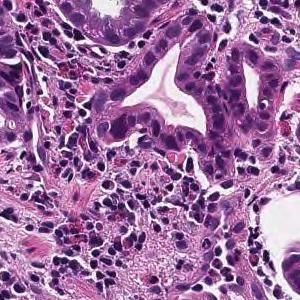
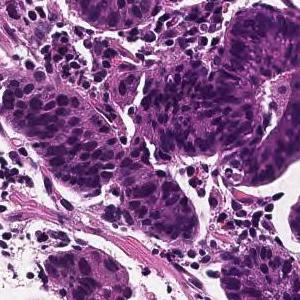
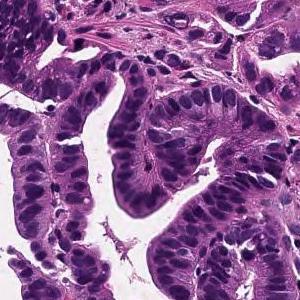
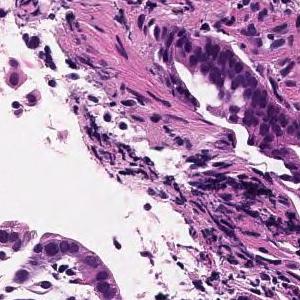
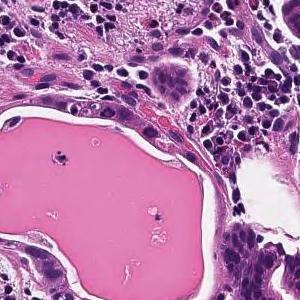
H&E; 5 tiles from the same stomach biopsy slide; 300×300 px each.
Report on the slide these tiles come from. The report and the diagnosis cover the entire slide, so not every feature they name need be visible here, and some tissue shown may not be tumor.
From the superficial epithelium to the muscularis mucosae, tumor tissue that invades by forming medium-sized to small irregular gland ducts is observed. Well differentiated tubular adenocarcinoma (well differentiated tubular adenocarcinoma)
Tumor subtype: well differentiated tubular adenocarcinoma.
